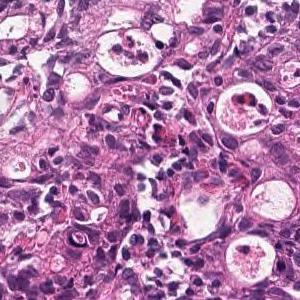
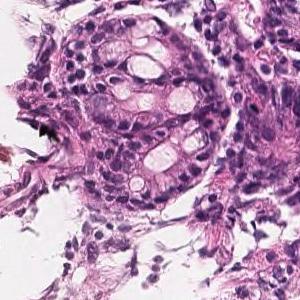
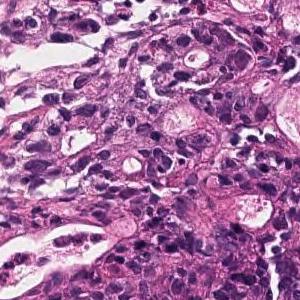
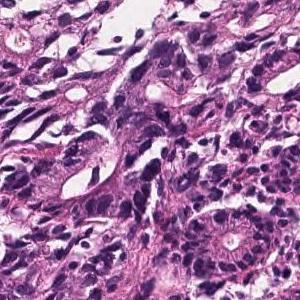
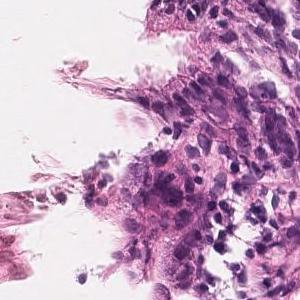
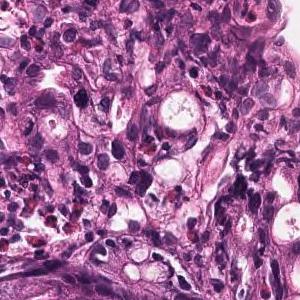
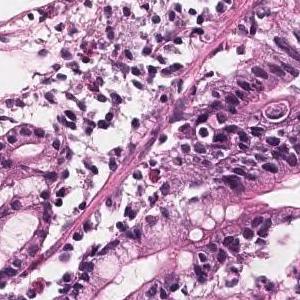
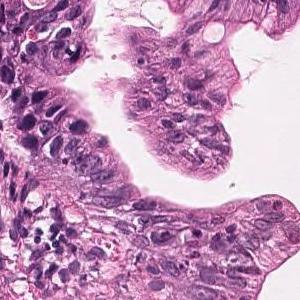
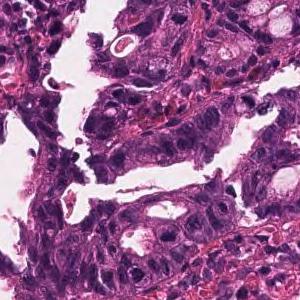
Hematoxylin and eosin stain; ×20; 9 image tiles from a single gastric biopsy slide; 300 × 300 pixels each.
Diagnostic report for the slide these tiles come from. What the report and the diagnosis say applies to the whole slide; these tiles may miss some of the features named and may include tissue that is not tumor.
On the superficial epithelium, tumor tissue consisting of large, irregular glandular ducts partially fused and infiltrated is observed. Well to moderately differentiated tubular adenocarcinoma (well differentiated tubular adenocarcinoma, moderately differentiated tubular adenocarcinoma)
Tumor subtype: well to moderately differentiated tubular adenocarcinoma.
